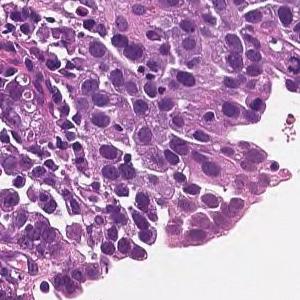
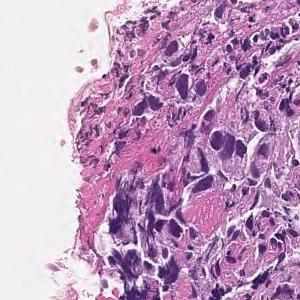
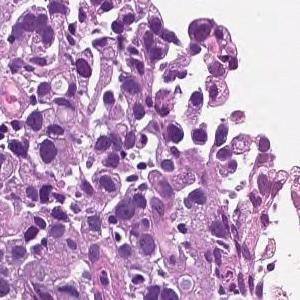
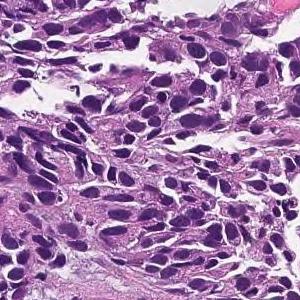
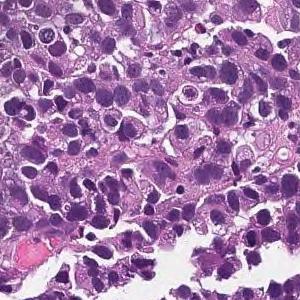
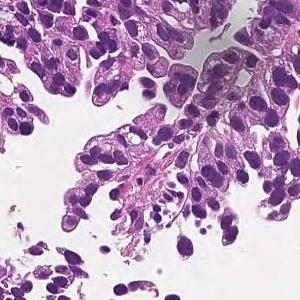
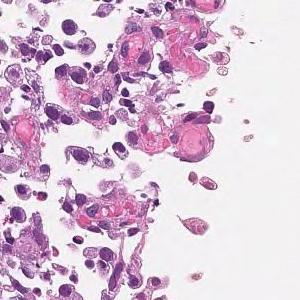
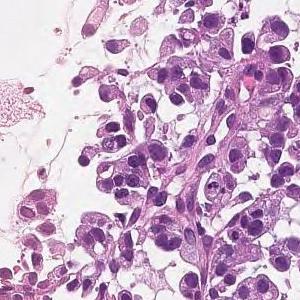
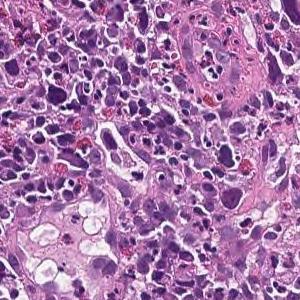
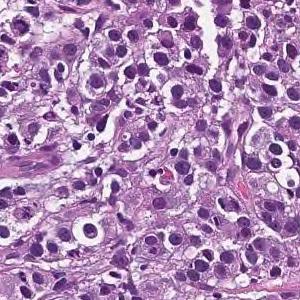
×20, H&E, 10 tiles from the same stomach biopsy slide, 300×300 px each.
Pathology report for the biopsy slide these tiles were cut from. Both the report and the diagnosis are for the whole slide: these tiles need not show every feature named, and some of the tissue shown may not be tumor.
The superficial epithelium shows a large sheet-like shape, and some tumor tissue infiltrates with small irregular ducts. Poorly differentiated adenocarcinoma, solid-type
Histologic type: Poorly differentiated adenocarcinoma, solid type. This name comes from the Japanese Classification of Gastric Carcinoma; the WHO 2019 classification calls it tubular adenocarcinoma, poorly differentiated.
